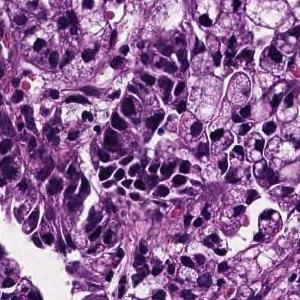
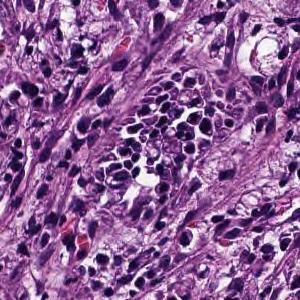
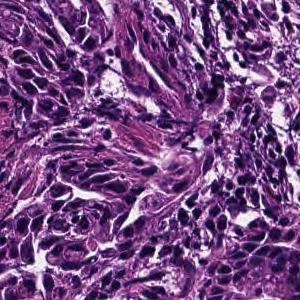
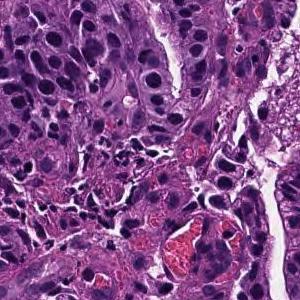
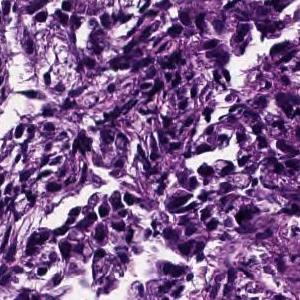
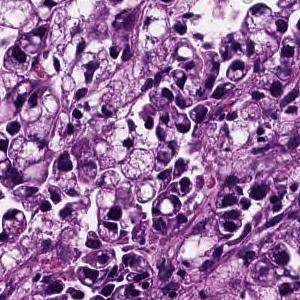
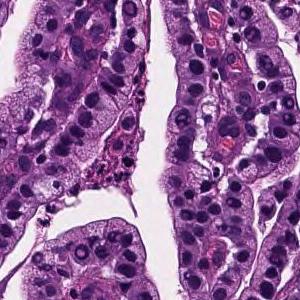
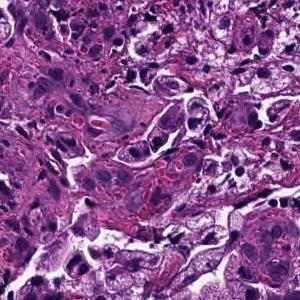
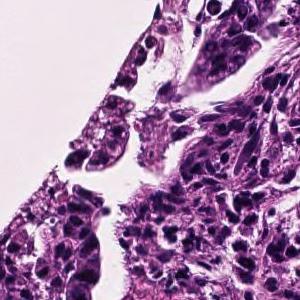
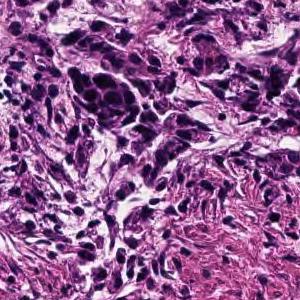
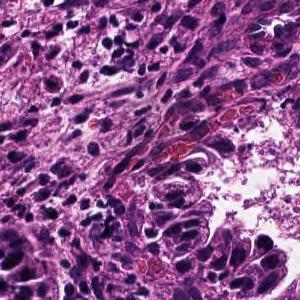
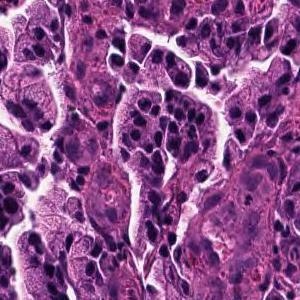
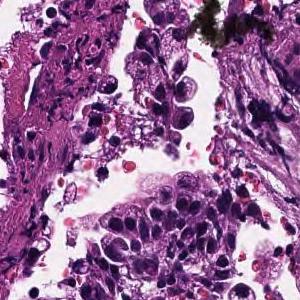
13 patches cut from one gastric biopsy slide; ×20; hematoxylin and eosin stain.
Pathology report for the slide these tiles were cut from. The report describes the whole slide, diagnosis included: not every finding it names need appear in these tiles, which may also show non-tumor tissue.
Tumor cells are large, highly columnar, large club-shaped nuclei, and are associated with chromatin aggregation. Papillary adenocarcinoma.
